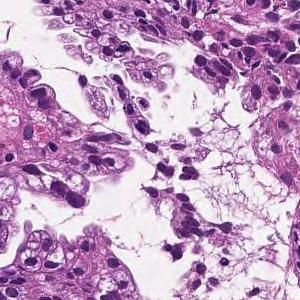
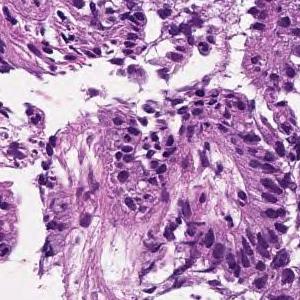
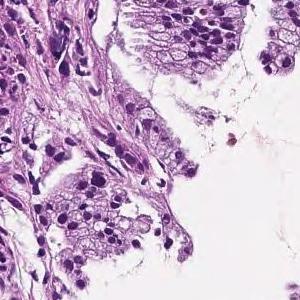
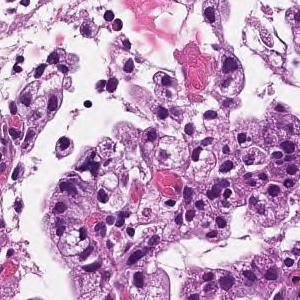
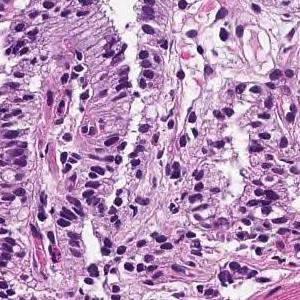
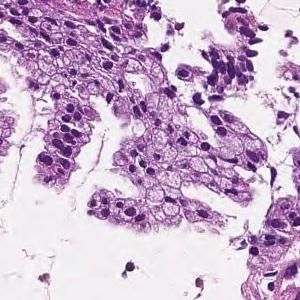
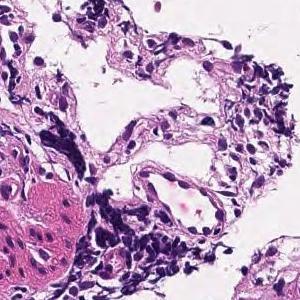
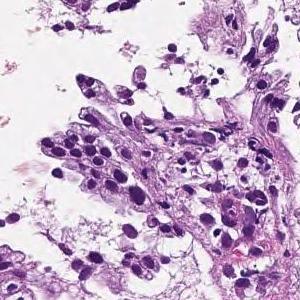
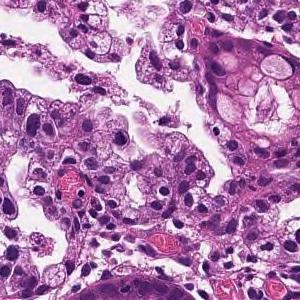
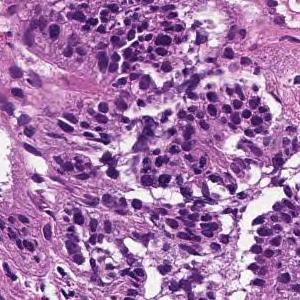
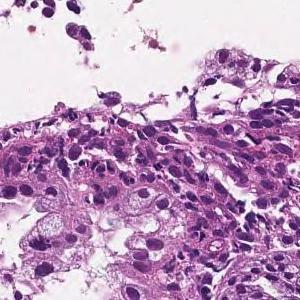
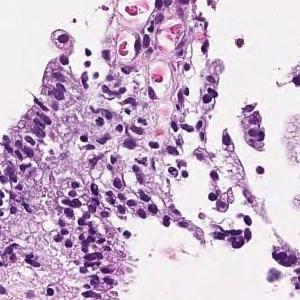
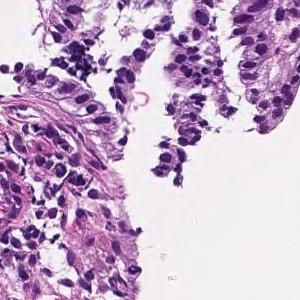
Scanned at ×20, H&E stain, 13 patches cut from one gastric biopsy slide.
Report on the slide these tiles come from. The report and the diagnosis cover the entire slide, so not every feature they name need be visible here, and some tissue shown may not be tumor.
On the superficial epithelium, tumor tissue that infiltrates by forming medium-sized papillary or small irregular ducts is observed. Papillary adenocarcinoma
